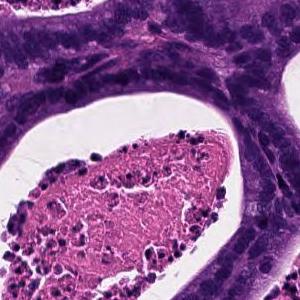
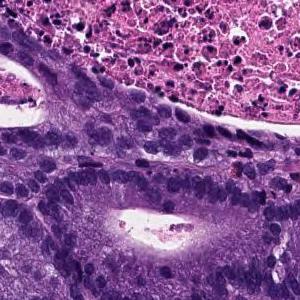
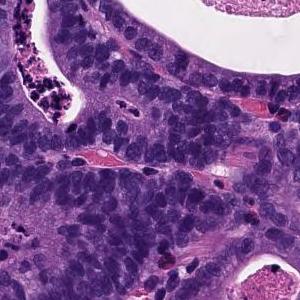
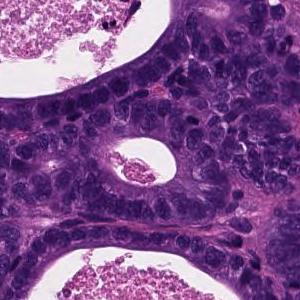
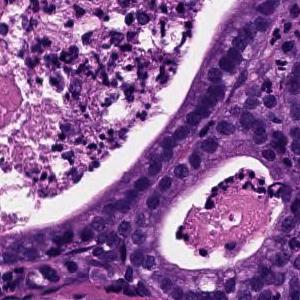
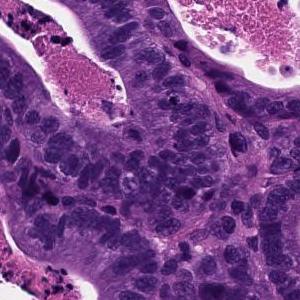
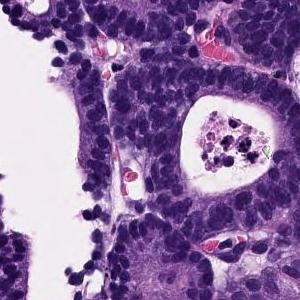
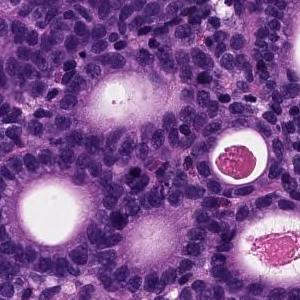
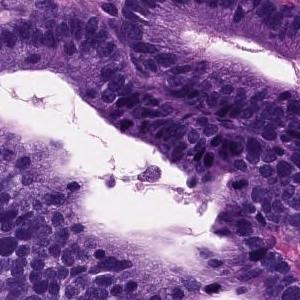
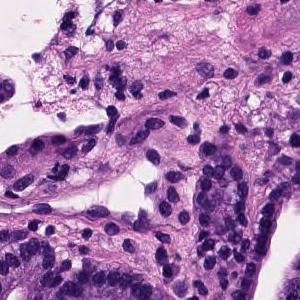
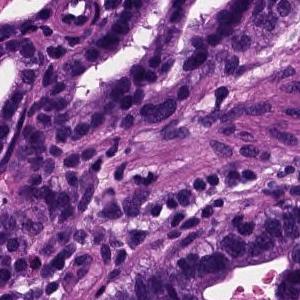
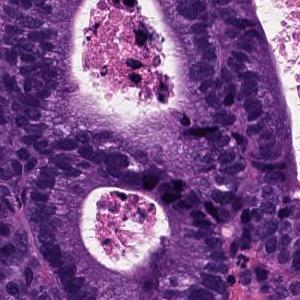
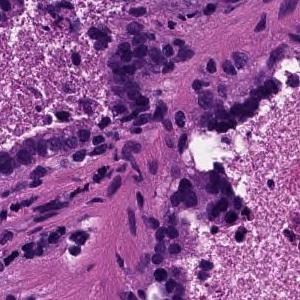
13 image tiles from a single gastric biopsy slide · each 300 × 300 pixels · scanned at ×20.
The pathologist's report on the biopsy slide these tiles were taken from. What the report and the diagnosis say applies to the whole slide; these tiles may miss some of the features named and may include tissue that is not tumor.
From the superficial epithelium to the muscularis mucosae, tumor tissue consisting of medium-sized and irregular glandular ducts infiltrating is observed. Well differentiated tubular adenocarcinoma
